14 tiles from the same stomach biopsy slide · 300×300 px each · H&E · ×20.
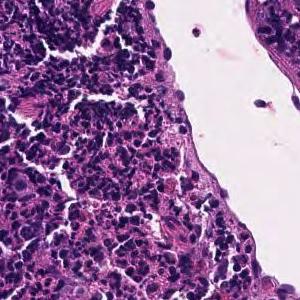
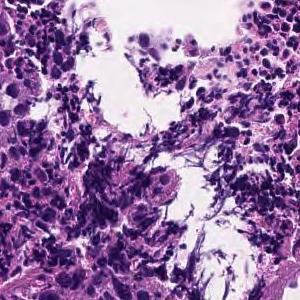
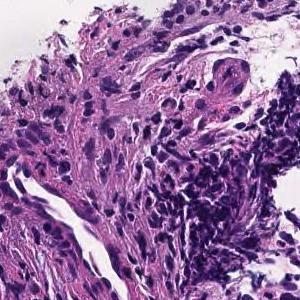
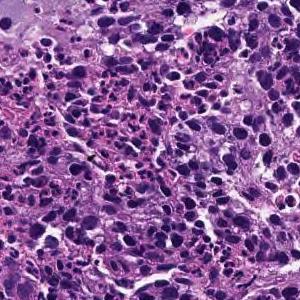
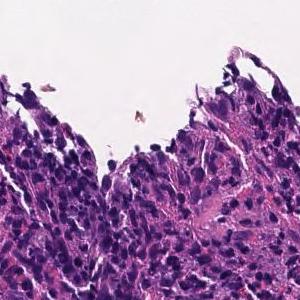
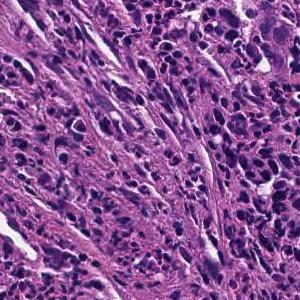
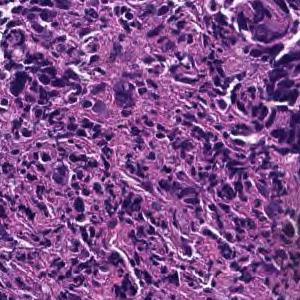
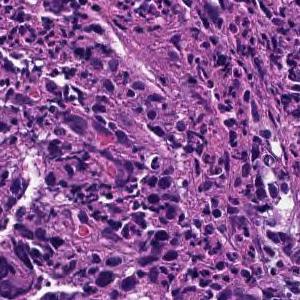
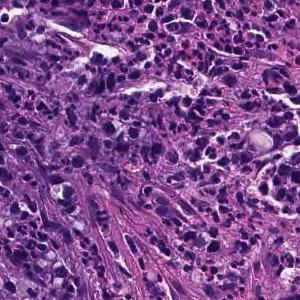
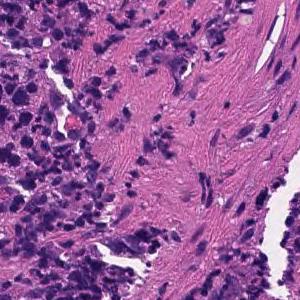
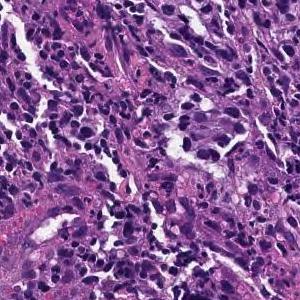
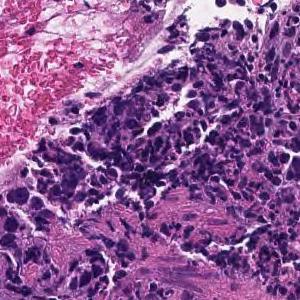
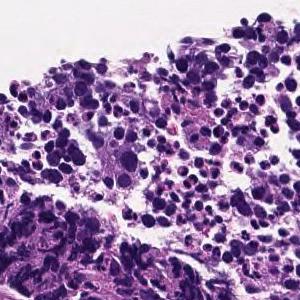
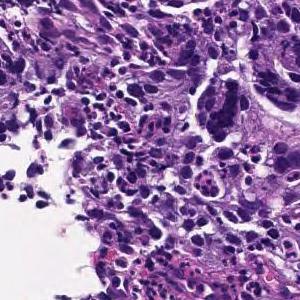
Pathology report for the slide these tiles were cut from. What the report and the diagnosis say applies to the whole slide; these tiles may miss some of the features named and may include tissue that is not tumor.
Tumor tissue consisting of cord-like or small, irregular glandular ducts fused and infiltrated is observed in the superficial epithelium. Poorly differentiated adenocarcinoma, non-solid type
"Non-solid type" is a category of the Japanese Classification of Gastric Carcinoma.
